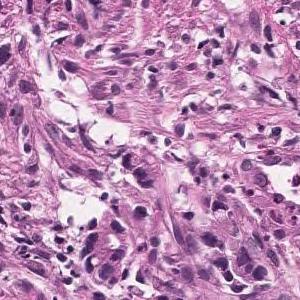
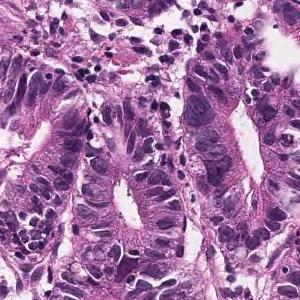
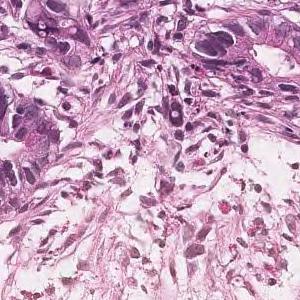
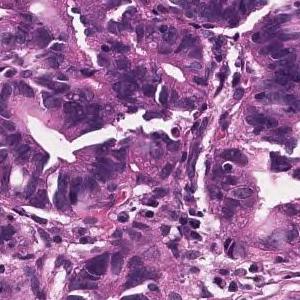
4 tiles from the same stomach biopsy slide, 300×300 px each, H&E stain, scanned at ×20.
Report on the slide these tiles come from. The report and the diagnosis describe the slide as a whole, so these tiles may not show every feature named and may include non-tumor tissue.
In the superficial epithelium, tumor tissue is found in which medium-sized irregular gland ducts fuse with each other and infiltrate. moderately differentiated tubular adenocarcinoma
